H&E stain · 20× magnification · 15 image tiles from a single gastric biopsy slide.
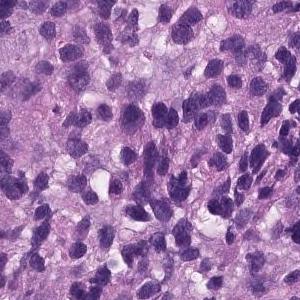
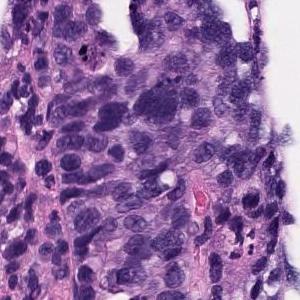
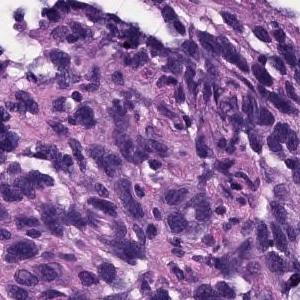
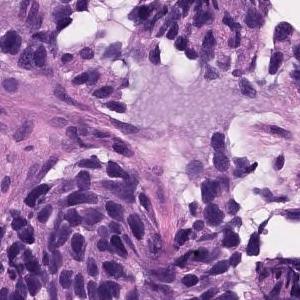
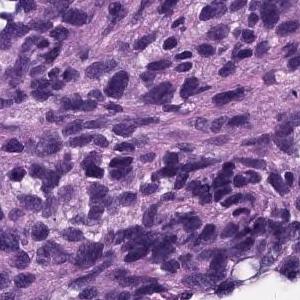
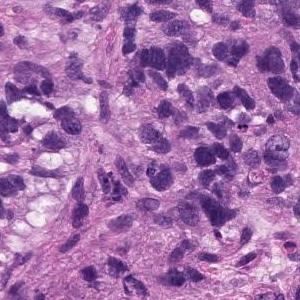
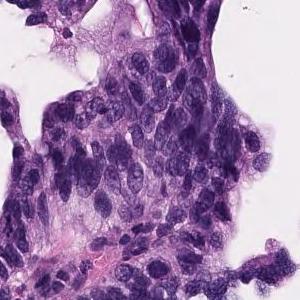
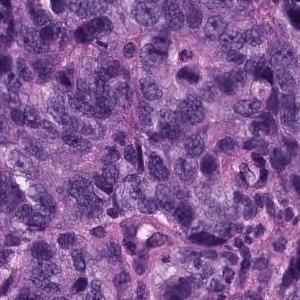
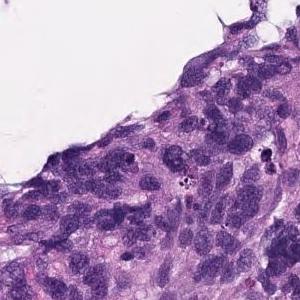
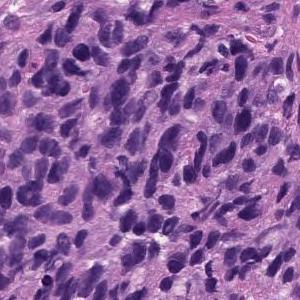
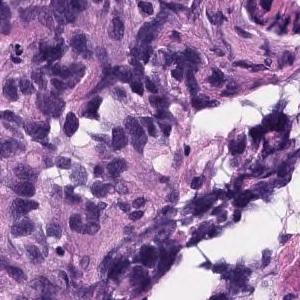
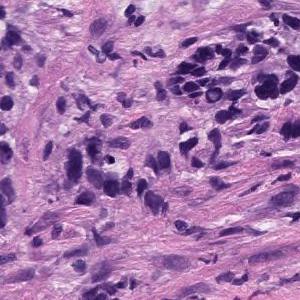
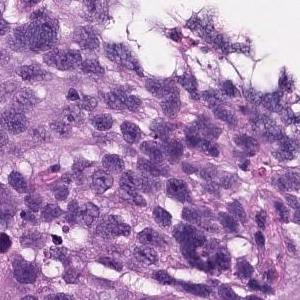
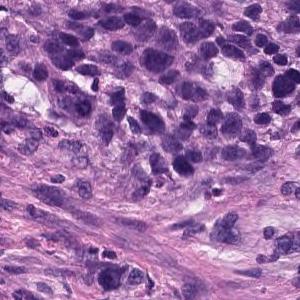
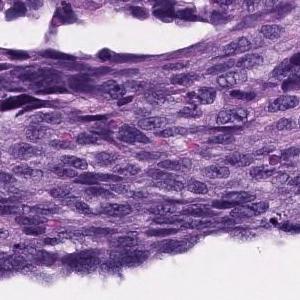
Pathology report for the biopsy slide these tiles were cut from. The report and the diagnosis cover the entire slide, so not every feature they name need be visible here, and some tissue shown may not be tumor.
Atypical l cells with atypical nuclei under the mucosa growing in isolation and scattered. Poorly differentiated adenocarcinoma (poorly differentiated adenocarcinoma, non-solid type)
Classified as poorly differentiated adenocarcinoma, non-solid type.
The term "non-solid type" comes from the Japanese Classification of Gastric Carcinoma.
